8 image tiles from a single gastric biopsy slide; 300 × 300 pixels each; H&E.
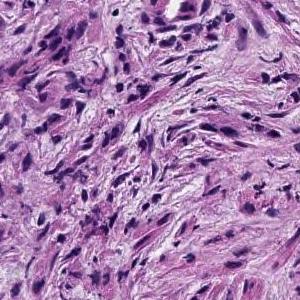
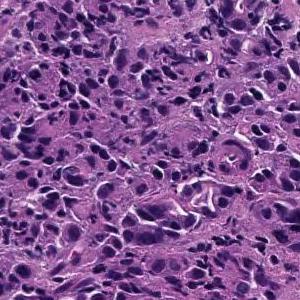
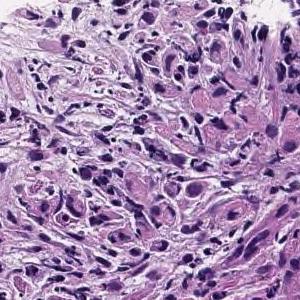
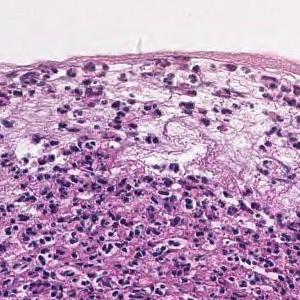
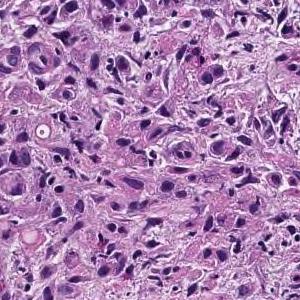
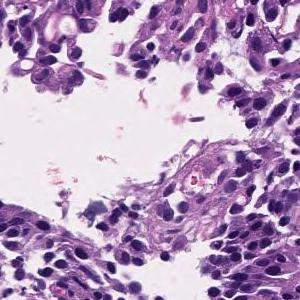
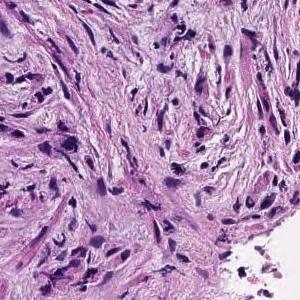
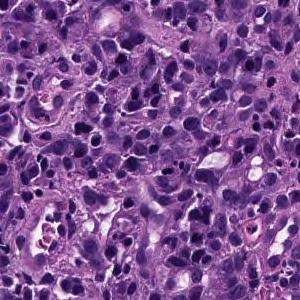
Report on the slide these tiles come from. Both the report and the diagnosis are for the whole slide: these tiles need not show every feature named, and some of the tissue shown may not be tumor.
The superficial epithelium shows a large sheet-like shape, and some tumor tissue infiltrates with small irregular ducts. Poorly differentiated adenocarcinoma, solid-type
Histologic type: Poorly differentiated adenocarcinoma, solid type (Japanese Classification of Gastric Carcinoma). The WHO 2019 equivalent is tubular adenocarcinoma, poorly differentiated.
